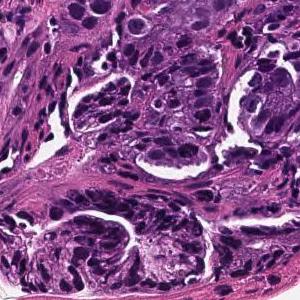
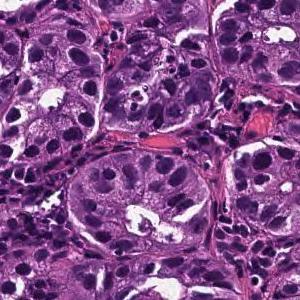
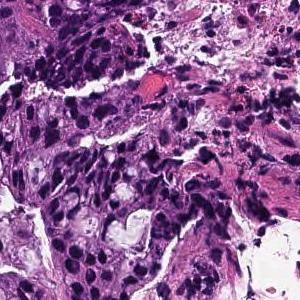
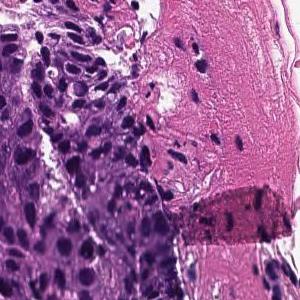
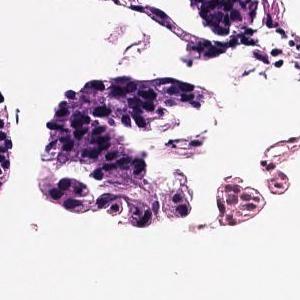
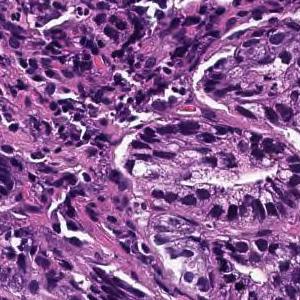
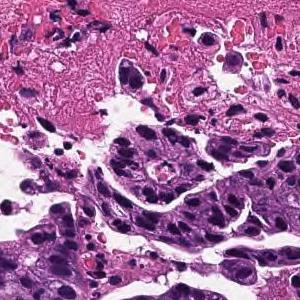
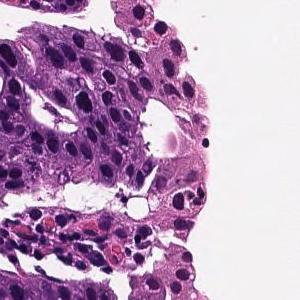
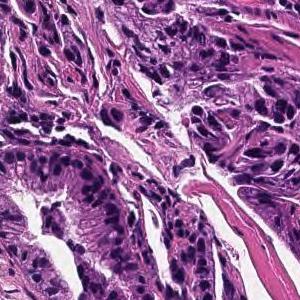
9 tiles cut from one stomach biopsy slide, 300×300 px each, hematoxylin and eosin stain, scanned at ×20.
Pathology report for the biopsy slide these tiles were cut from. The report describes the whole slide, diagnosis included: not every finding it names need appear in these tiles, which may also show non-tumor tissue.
In the superficial epithelium, tumor tissue that invades by forming medium-sized to small, irregular ducts is observed. moderately differentiated tubular adenocarcinoma.
